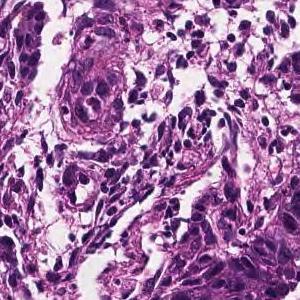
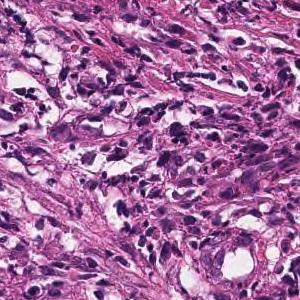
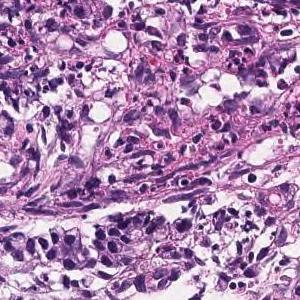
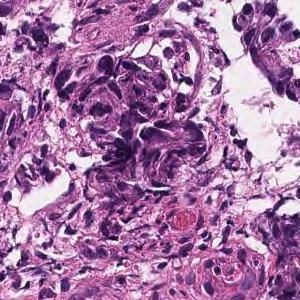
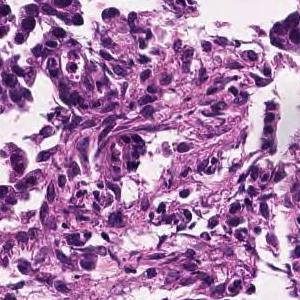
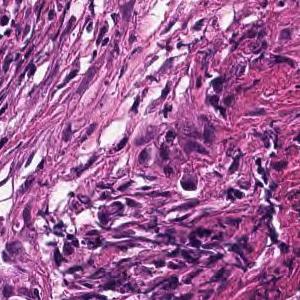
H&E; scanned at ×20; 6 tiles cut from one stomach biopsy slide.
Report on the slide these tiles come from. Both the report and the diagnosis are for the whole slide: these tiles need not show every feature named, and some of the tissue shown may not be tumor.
In the superficial epithelium, medium to small, irregular gland ducts are formed, and in some cases, the gland ducts are fused to show solid alveolar lesions and infiltrating tumor tissue is observed. Moderately to poorly differentiated adenocarcinoma.
